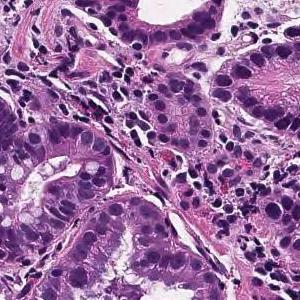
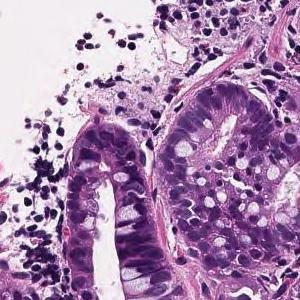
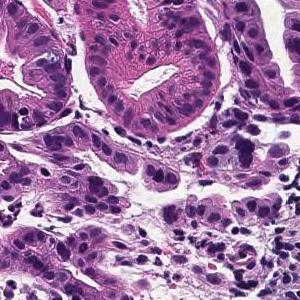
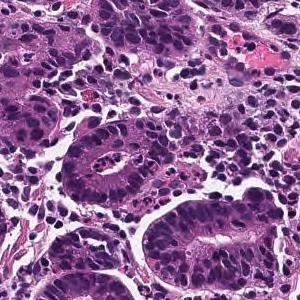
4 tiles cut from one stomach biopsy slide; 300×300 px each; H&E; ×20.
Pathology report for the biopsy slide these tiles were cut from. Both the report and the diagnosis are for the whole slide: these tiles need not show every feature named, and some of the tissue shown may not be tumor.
From the superficial epithelium to the muscularis mucosae, tumor tissue that invades by forming medium-sized to small irregular gland ducts is observed. Well differentiated tubular adenocarcinoma (well differentiated tubular adenocarcinoma)
Subtype: Well differentiated tubular adenocarcinoma.
